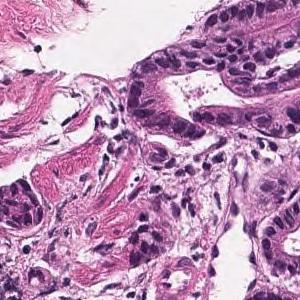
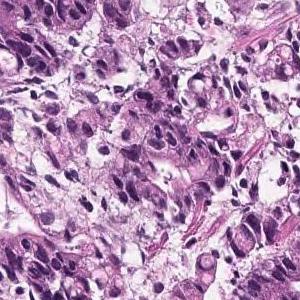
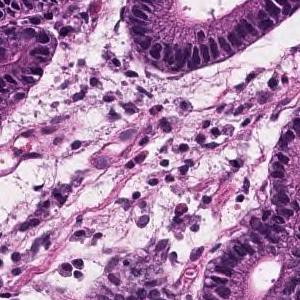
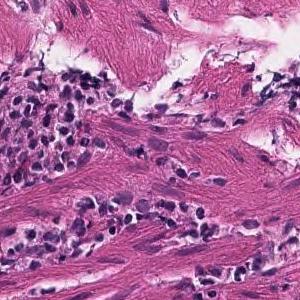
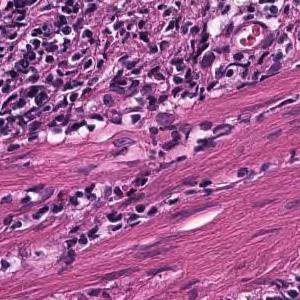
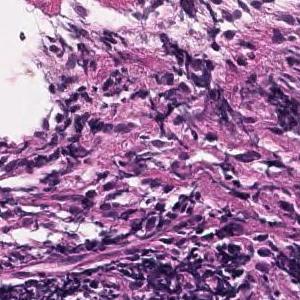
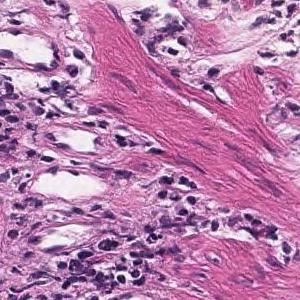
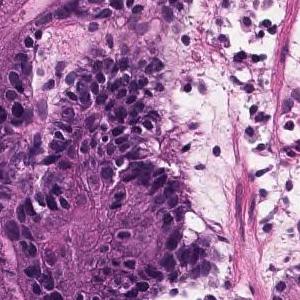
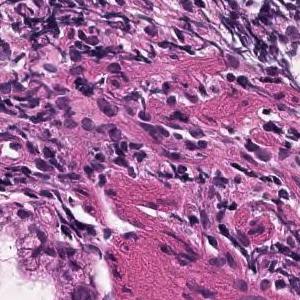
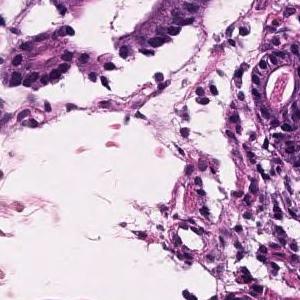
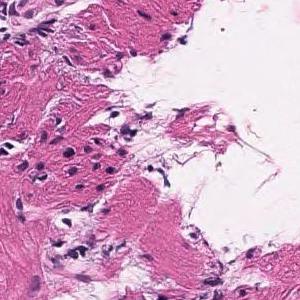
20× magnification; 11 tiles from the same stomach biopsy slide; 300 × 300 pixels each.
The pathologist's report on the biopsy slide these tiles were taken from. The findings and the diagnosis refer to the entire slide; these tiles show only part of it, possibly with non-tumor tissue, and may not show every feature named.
Tumor tissue with atypical epithelium showing irregular ductal or sieving ductal structure and proliferating is observed. Well to moderately differentiated tubular adenocarcinoma (well differentiated tubular adenocarcinoma-moderately differentiated tubular adenocarcinoma)
Histologic type: Well to moderately differentiated tubular adenocarcinoma.
